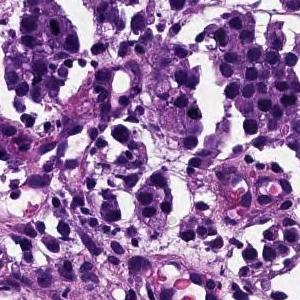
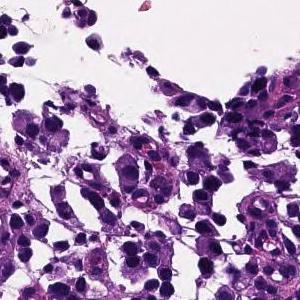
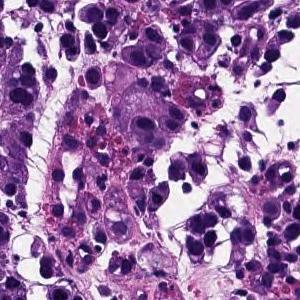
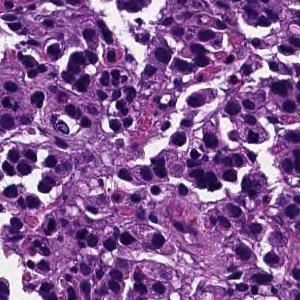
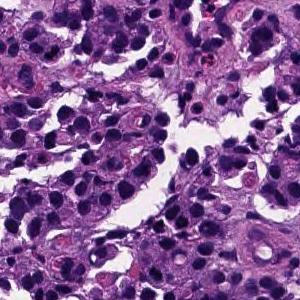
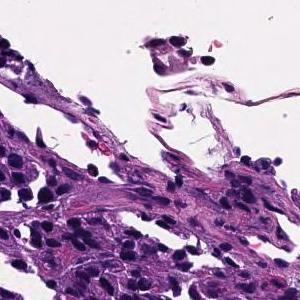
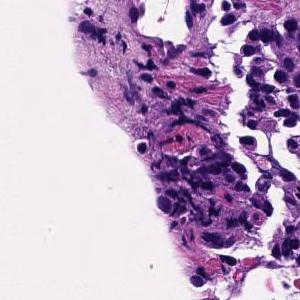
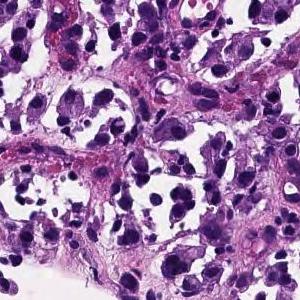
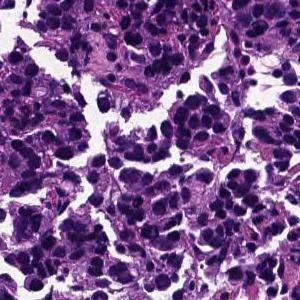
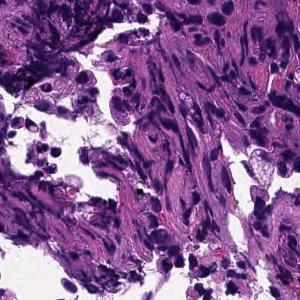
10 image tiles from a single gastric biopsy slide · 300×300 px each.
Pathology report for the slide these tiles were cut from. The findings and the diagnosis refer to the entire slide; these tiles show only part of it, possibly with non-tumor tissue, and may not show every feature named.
The superficial epithelium shows a large alveolar shape and infiltrates tumor tissue. Poorly differentiated adenocarcinoma, solid-type
Histologic type: Poorly differentiated adenocarcinoma, solid type, a category of the Japanese Classification of Gastric Carcinoma; in the WHO 2019 classification it is tubular adenocarcinoma, poorly differentiated.
